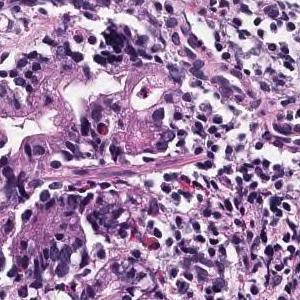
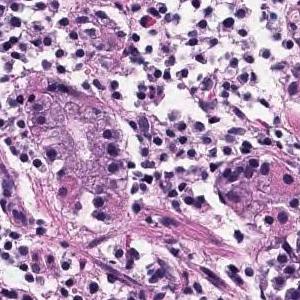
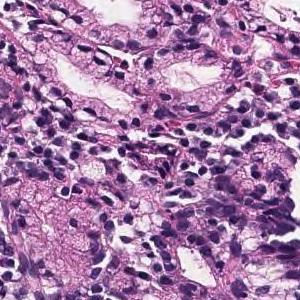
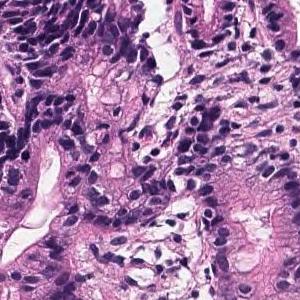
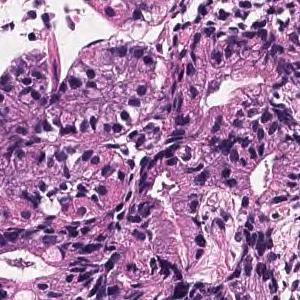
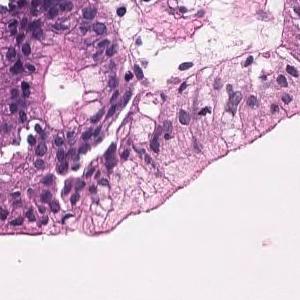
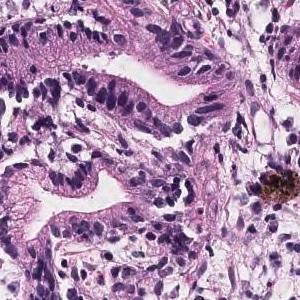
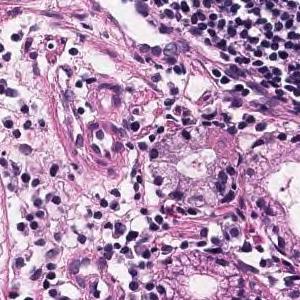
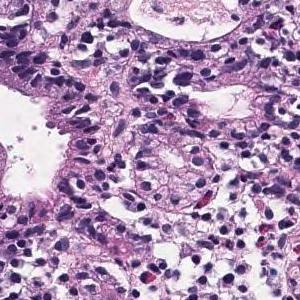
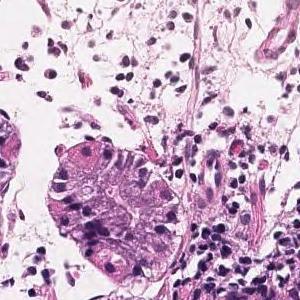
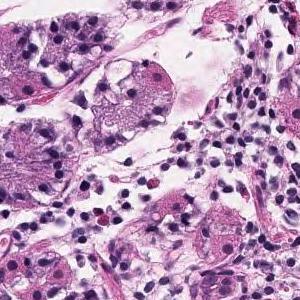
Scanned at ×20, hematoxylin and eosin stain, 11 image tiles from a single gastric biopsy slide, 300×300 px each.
Pathology report for the slide these tiles were cut from. What the report and the diagnosis say applies to the whole slide; these tiles may miss some of the features named and may include tissue that is not tumor.
Tumor tissue that grows and grows is observed, showing a medium-sized round or irregular duct. moderately differentiated tubular adenocarcinoma
